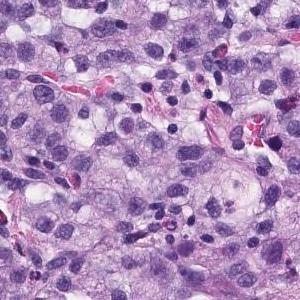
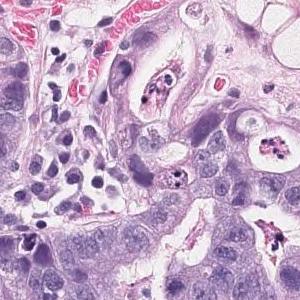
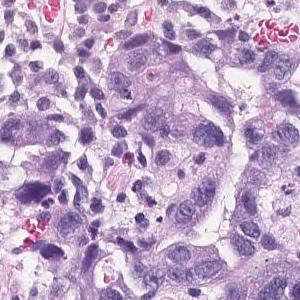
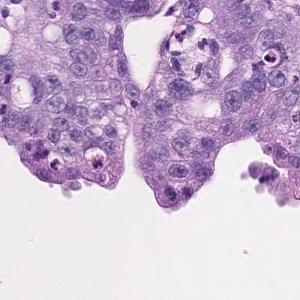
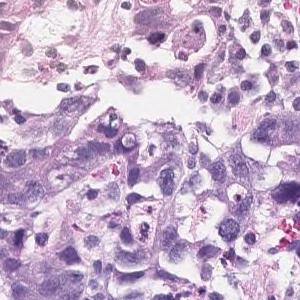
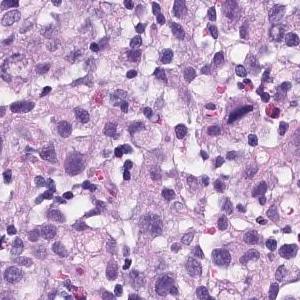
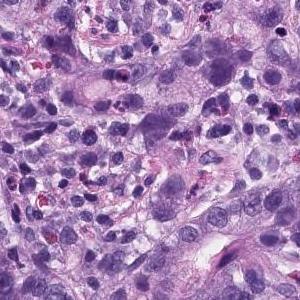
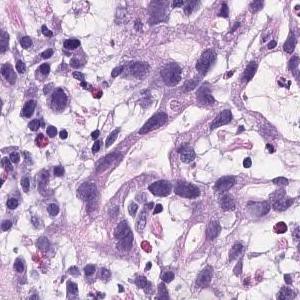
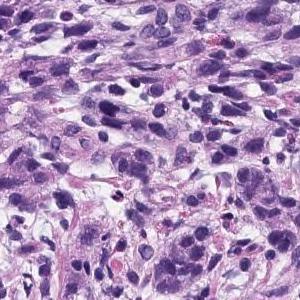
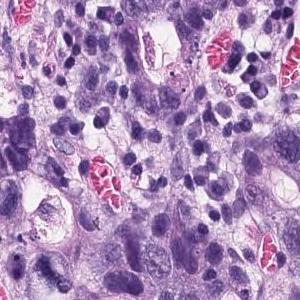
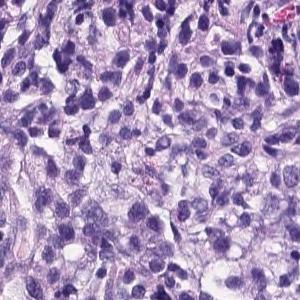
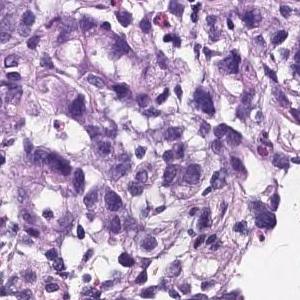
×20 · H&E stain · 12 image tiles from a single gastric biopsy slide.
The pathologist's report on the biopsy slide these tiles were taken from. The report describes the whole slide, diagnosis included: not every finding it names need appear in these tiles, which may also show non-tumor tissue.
There are atypical l cells with atypical nuclei forming cord-like or irregular atypical ducts from solidity and proliferating in a comprehensive manner. Poorly differentiated adenocarcinoma, Moderately differentiated adenocarcinoma (poorly differentiated adenocarcinoma, solid type moderately differentiated tubular adenocarcinoma)
Histological subtype: Moderately to poorly differentiated adenocarcinoma.
The solid type named here is a Japanese Classification of Gastric Carcinoma category; WHO 2019 calls it tubular adenocarcinoma, poorly differentiated.
